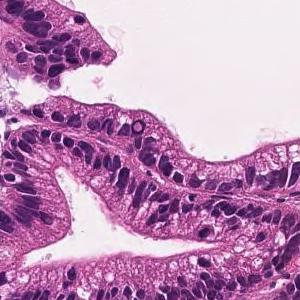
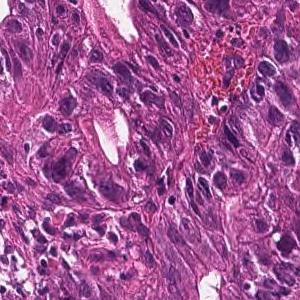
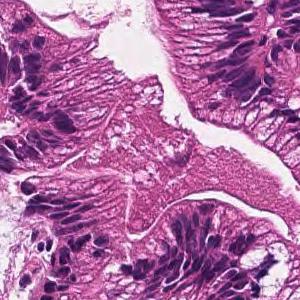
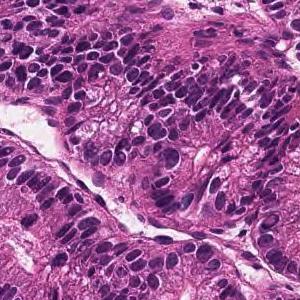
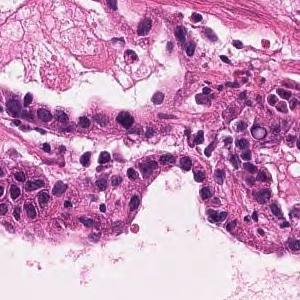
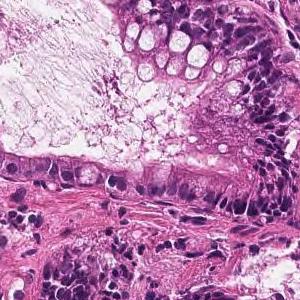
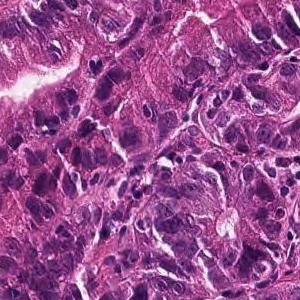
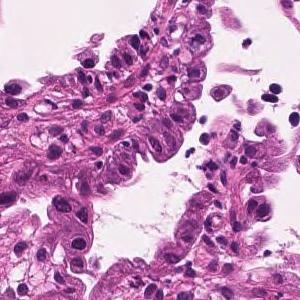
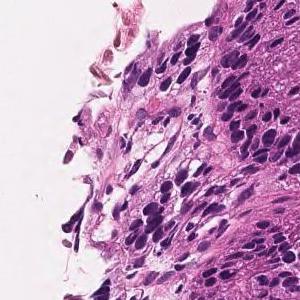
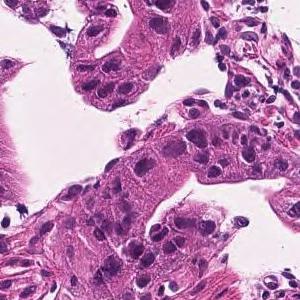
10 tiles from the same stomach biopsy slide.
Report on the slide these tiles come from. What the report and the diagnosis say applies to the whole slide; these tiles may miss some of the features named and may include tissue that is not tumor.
In the superficial epithelium, tumor tissue that invades by forming medium-sized to small, irregular ducts is observed. moderately differentiated tubular adenocarcinoma.
